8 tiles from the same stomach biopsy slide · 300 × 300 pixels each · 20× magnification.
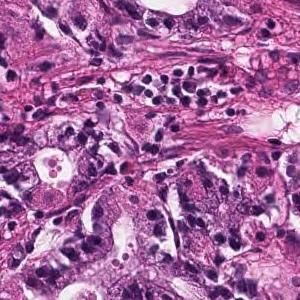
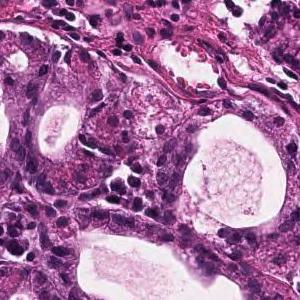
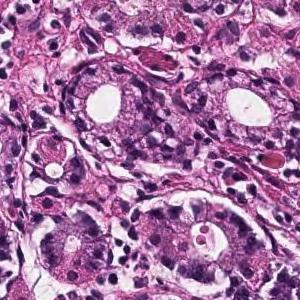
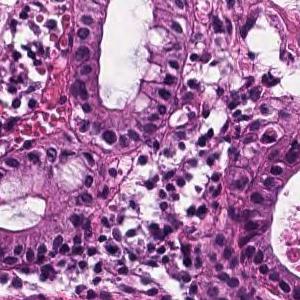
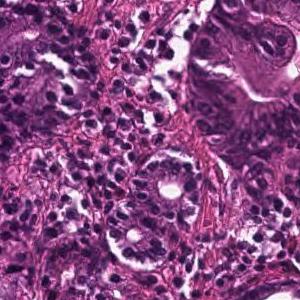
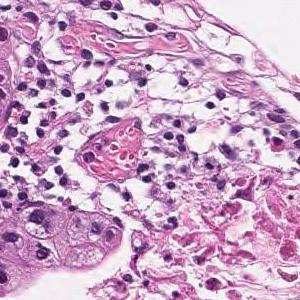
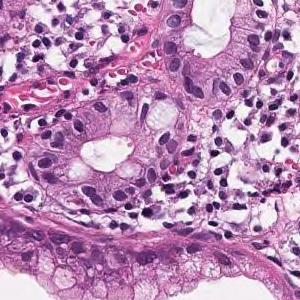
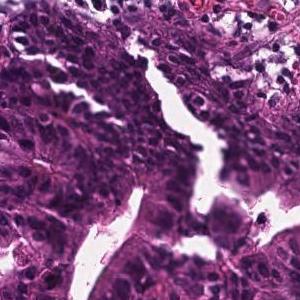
Pathology report for the biopsy slide these tiles were cut from. The report describes the whole slide, diagnosis included: not every finding it names need appear in these tiles, which may also show non-tumor tissue.
Tumor tissue in which medium to small irregular ducts infiltrate and proliferate in the submucosa can be seen in the epithelium. Well differentiated tubular adenocarcinoma
